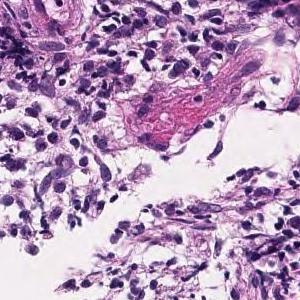
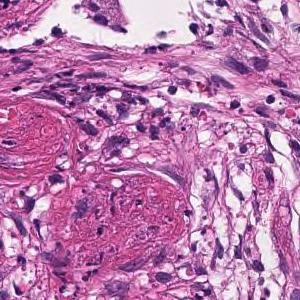
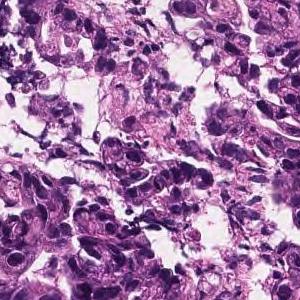
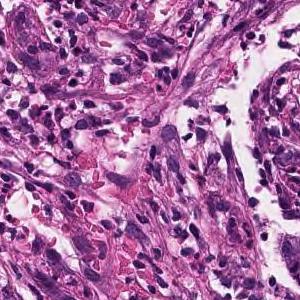
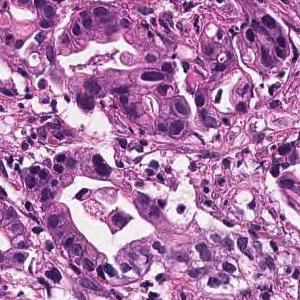
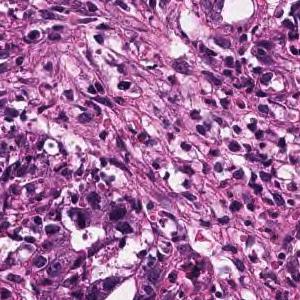
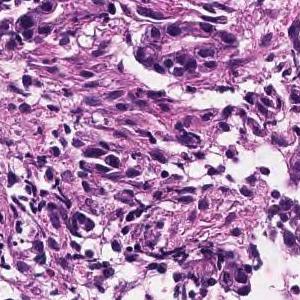
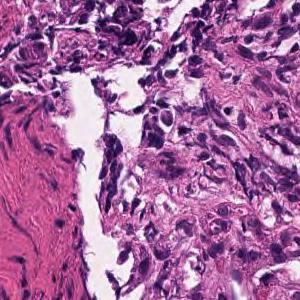
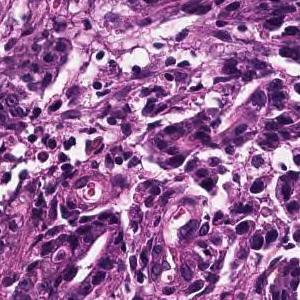
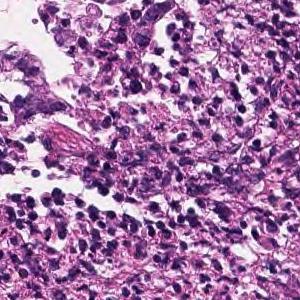
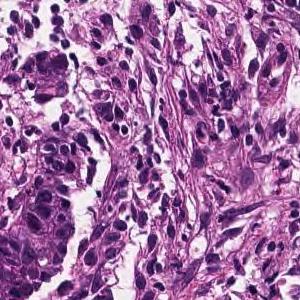
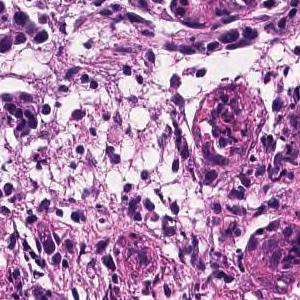
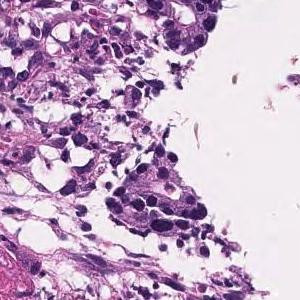
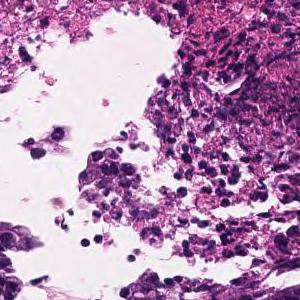
×20 · 14 image tiles from a single gastric biopsy slide.
Report on the slide these tiles come from. The findings and the diagnosis refer to the entire slide; these tiles show only part of it, possibly with non-tumor tissue, and may not show every feature named.
In the superficial epithelium, medium to small, irregular gland ducts are formed, and in some cases, the gland ducts are fused to show solid alveolar lesions and infiltrating tumor tissue is observed. Moderately to poorly differentiated adenocarcinoma.
